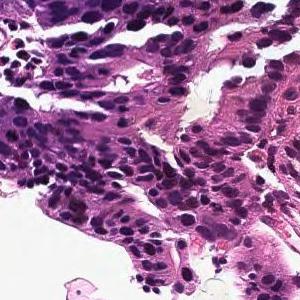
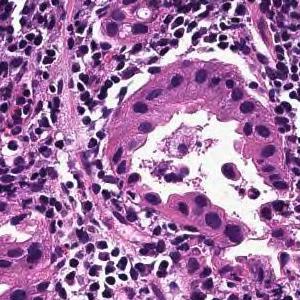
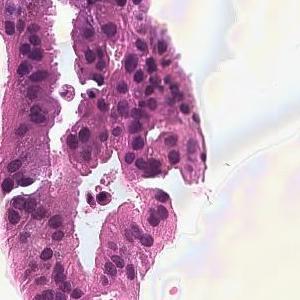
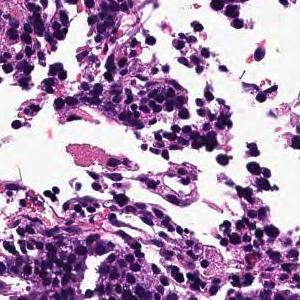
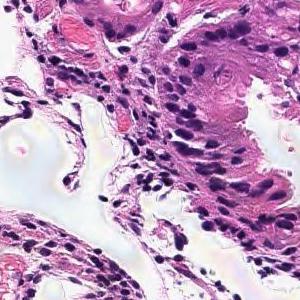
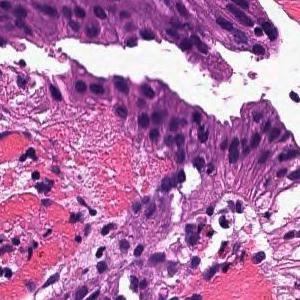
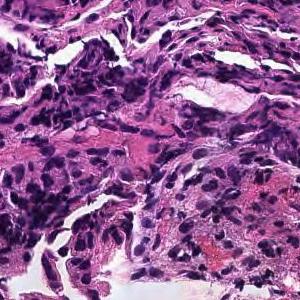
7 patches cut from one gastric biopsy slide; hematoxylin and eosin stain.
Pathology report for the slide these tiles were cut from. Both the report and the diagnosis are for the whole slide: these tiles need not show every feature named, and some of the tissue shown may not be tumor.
In the superficial epithelium, tumor tissue that invades by forming medium-sized to small, irregular ducts is observed. moderately differentiated tubular adenocarcinoma.
